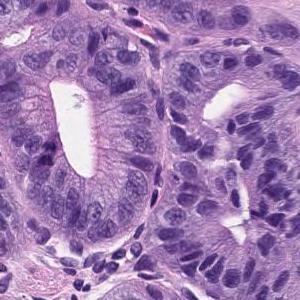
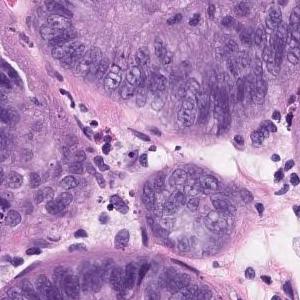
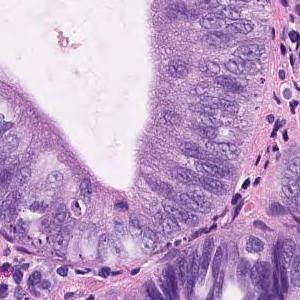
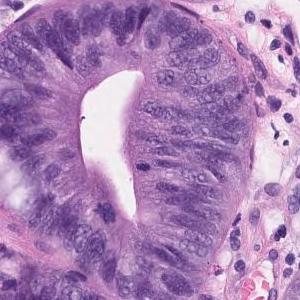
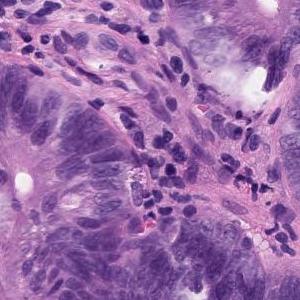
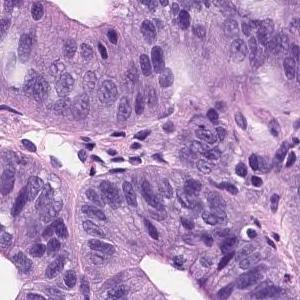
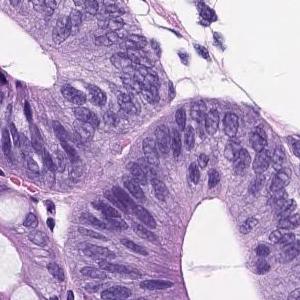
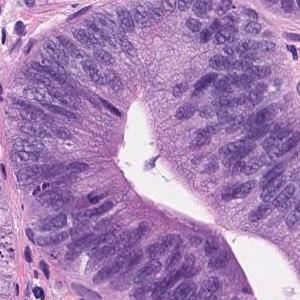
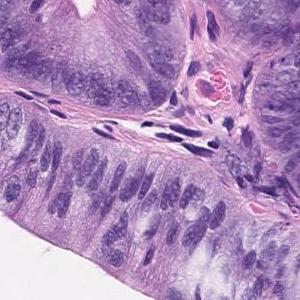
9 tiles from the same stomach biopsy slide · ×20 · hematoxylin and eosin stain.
Pathology report for the slide these tiles were cut from. The findings and the diagnosis refer to the entire slide; these tiles show only part of it, possibly with non-tumor tissue, and may not show every feature named.
On the superficial epithelium, tumor tissue consisting of images of atypical ducts of different sizes partially fused and densely proliferating is observed. Well differentiated tubular adenocarcinoma
